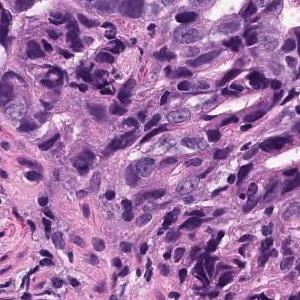
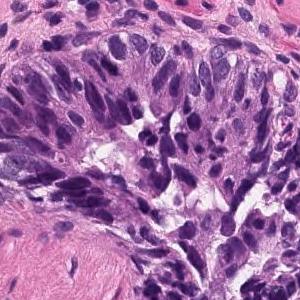
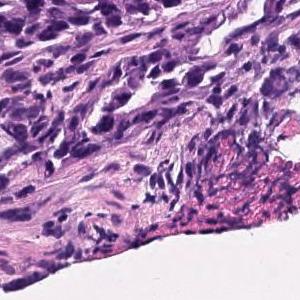
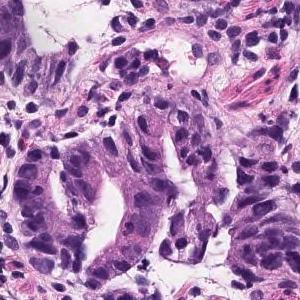
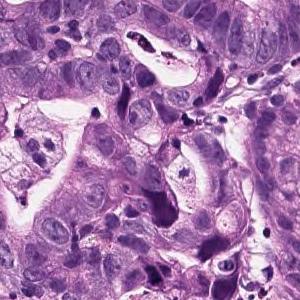
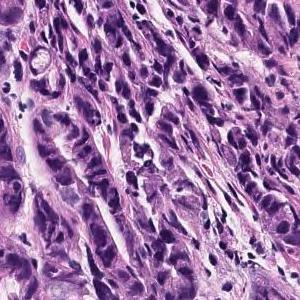
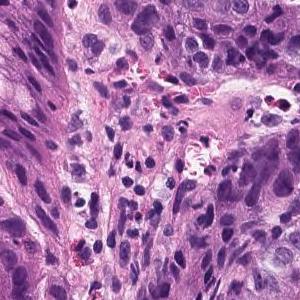
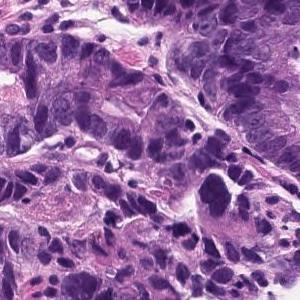
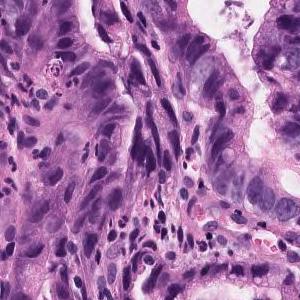
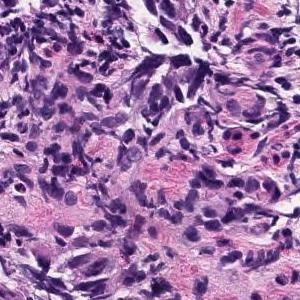
H&E stain; 20× magnification; 10 tiles cut from one stomach biopsy slide.
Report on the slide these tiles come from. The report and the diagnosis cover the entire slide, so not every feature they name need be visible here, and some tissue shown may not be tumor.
The swollen atypical epithelium of the nucleus forms an irregular ductal structure and proliferates. moderately differentiated tubular adenocarcinoma
